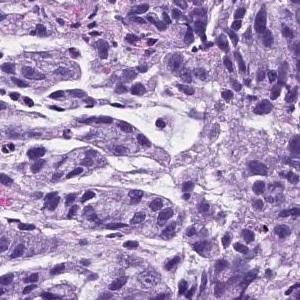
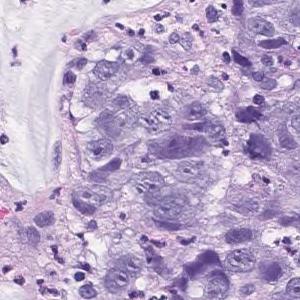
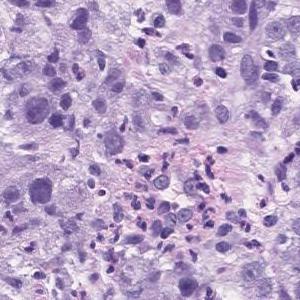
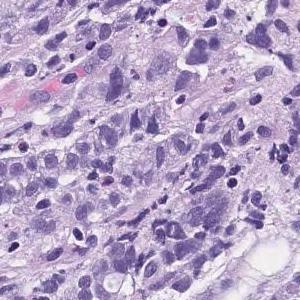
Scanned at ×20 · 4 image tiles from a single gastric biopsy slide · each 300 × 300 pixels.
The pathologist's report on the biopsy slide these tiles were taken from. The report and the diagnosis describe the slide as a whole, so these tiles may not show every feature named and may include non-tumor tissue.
Atypical l cells with atypical nuclei forming solid vesicles or small irregular atypical ducts that proliferate in a complex manner. poorly differentiated adenocarcinoma, solid type, moderately differentiated tubular adenocarcinoma
The solid type named here is a Japanese Classification of Gastric Carcinoma category; WHO 2019 calls it tubular adenocarcinoma, poorly differentiated.
